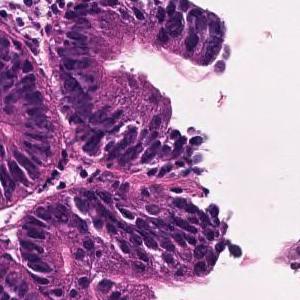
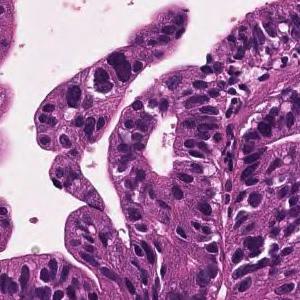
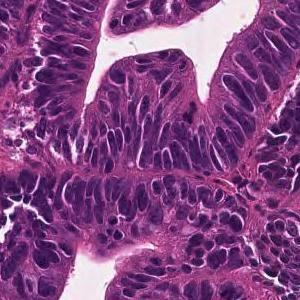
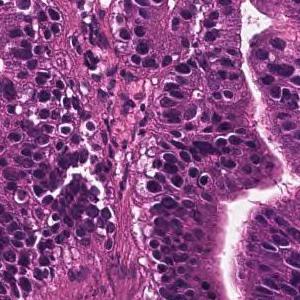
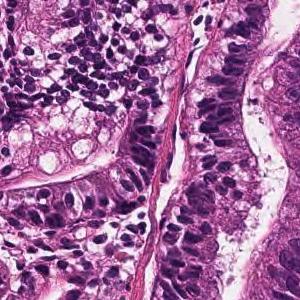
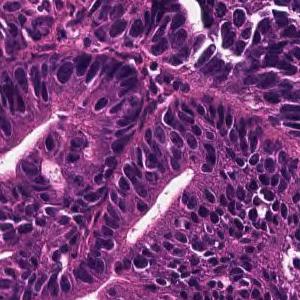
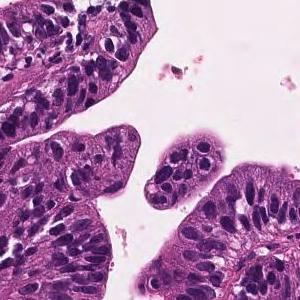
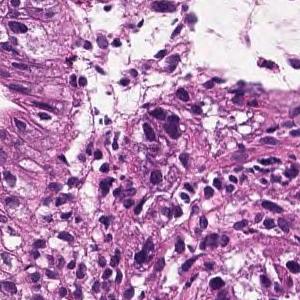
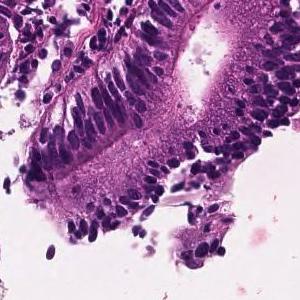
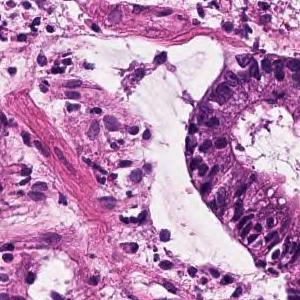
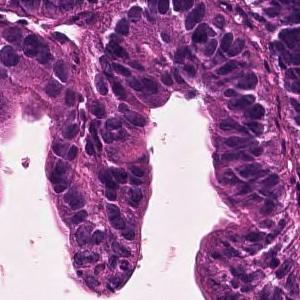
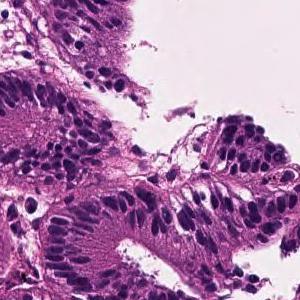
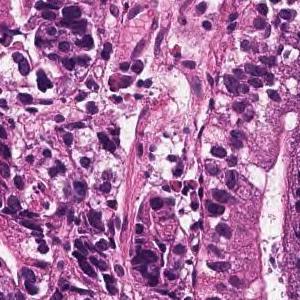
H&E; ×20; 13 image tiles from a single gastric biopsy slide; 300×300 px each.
Pathology report for the slide these tiles were cut from. The findings and the diagnosis refer to the entire slide; these tiles show only part of it, possibly with non-tumor tissue, and may not show every feature named.
A large irregular tubular structure is exhibited in the epithelium, and tumor tissue that partially fuses and infiltrates and proliferates is observed. Large columnar tumor cells exhibit enlarged nucleus, hyperchromatism, and mitotic figures. Well differentiated tubular adenocarcinoma
